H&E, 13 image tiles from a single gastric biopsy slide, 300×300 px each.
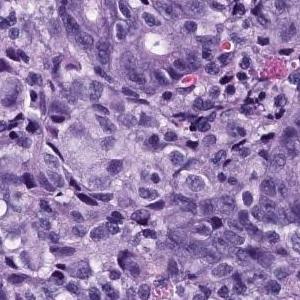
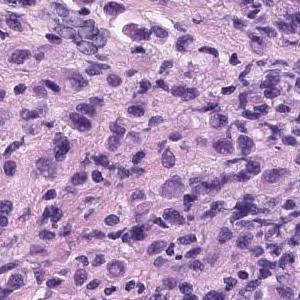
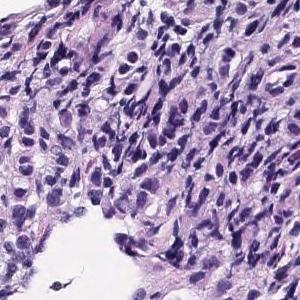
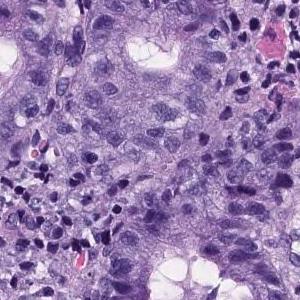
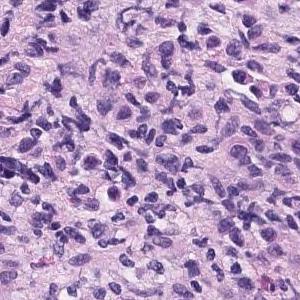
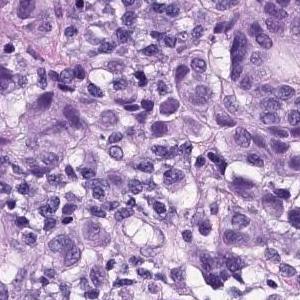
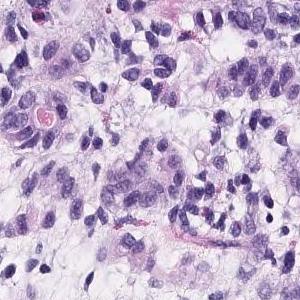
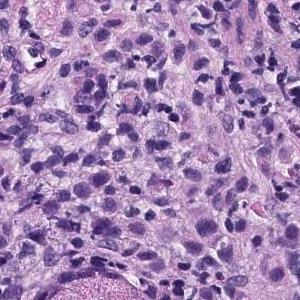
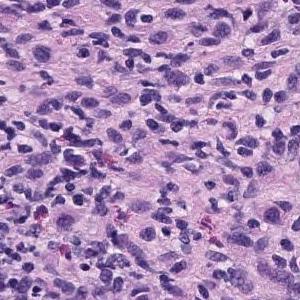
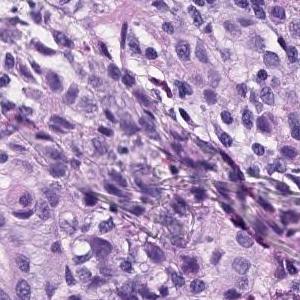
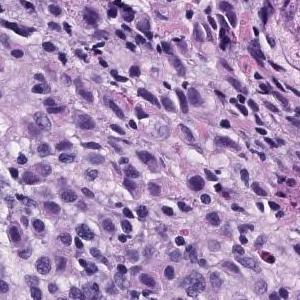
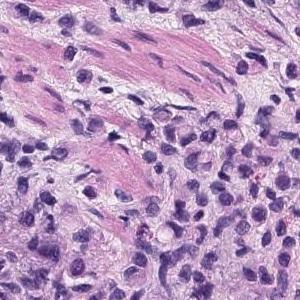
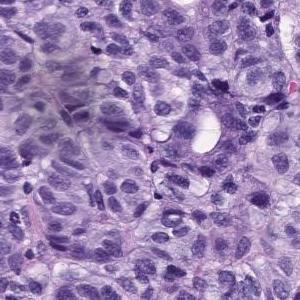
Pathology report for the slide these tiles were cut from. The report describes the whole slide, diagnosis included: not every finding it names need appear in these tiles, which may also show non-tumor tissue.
There are medium-sized atypical cells with marked nuclear swelling and increased N/C ratio, which grow into solid or isolated scattered cells. Poorly differentiated adenocarcinoma
Subtype: Poorly differentiated adenocarcinoma, solid type (Japanese Classification of Gastric Carcinoma). The WHO 2019 equivalent is tubular adenocarcinoma, poorly differentiated.
